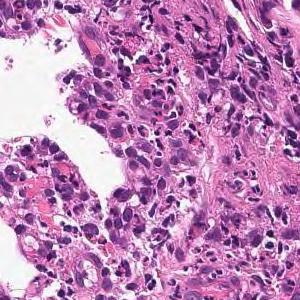
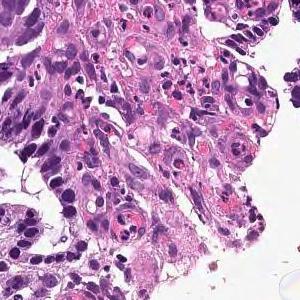
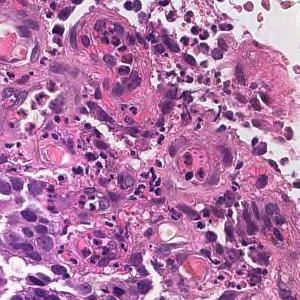
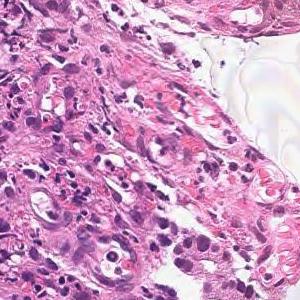
20× magnification, H&E, 4 tiles cut from one stomach biopsy slide, 300×300 px each.
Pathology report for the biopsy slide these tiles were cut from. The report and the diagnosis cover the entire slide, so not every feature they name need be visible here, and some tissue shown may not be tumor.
On the superficial epithelium, tumor tissue consisting of large irregular glandular ducts partially fused and infiltrated is observed. Well to moderately differentiated tubular adenocarcinoma (well differentiated tubular adenocarcinoma, moderately differentiated tubular adenocarcinoma)
Classified as well to moderately differentiated tubular adenocarcinoma.
